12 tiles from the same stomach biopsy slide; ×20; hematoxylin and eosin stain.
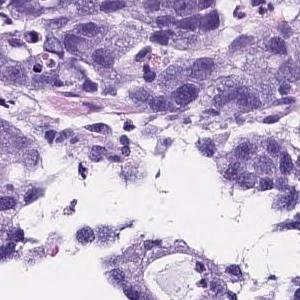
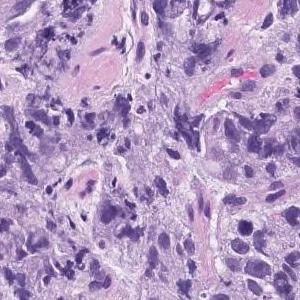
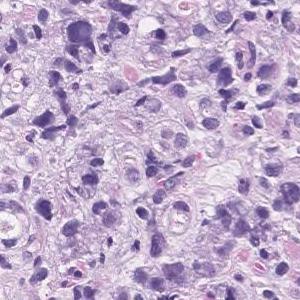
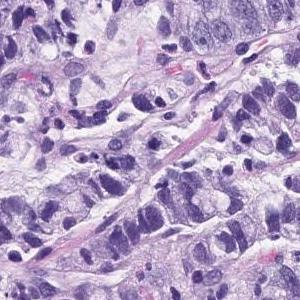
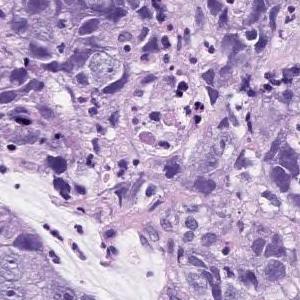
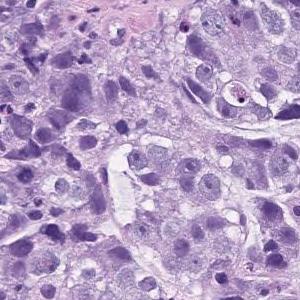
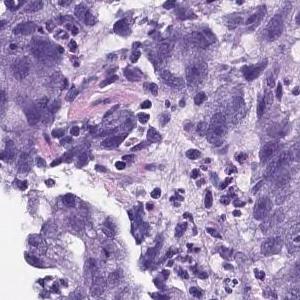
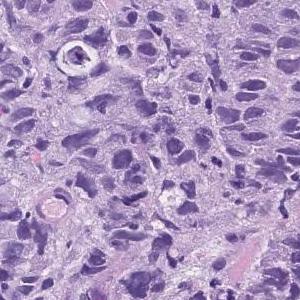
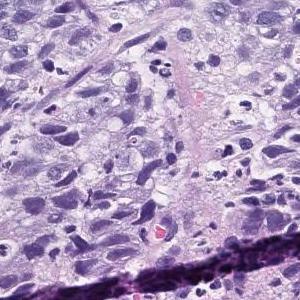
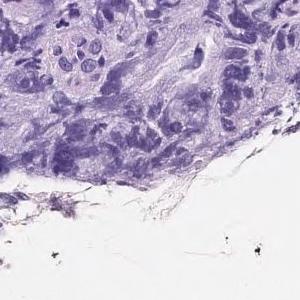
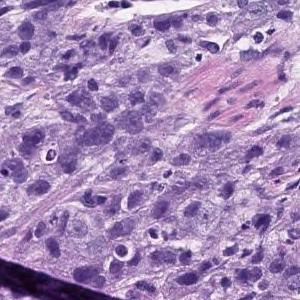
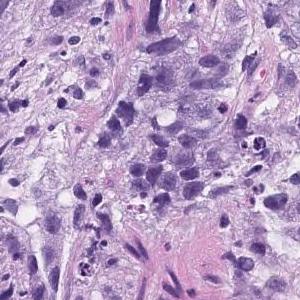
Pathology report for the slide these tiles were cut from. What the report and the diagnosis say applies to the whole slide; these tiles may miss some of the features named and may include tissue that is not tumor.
Atypical l cells with atypical nuclei forming solid vesicles or small irregular atypical ducts that proliferate in a complex manner. poorly differentiated adenocarcinoma, solid type, moderately differentiated tubular adenocarcinoma
"Solid type" is a category of the Japanese Classification of Gastric Carcinoma; in the WHO 2019 classification it is tubular adenocarcinoma, poorly differentiated.
